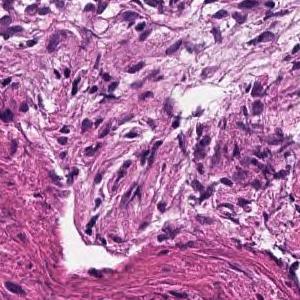
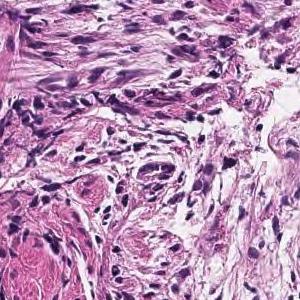
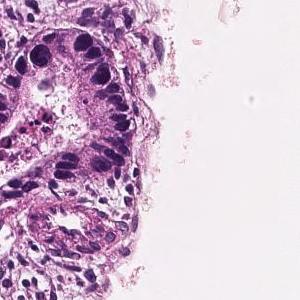
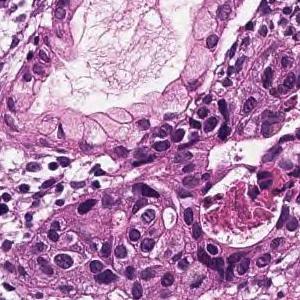
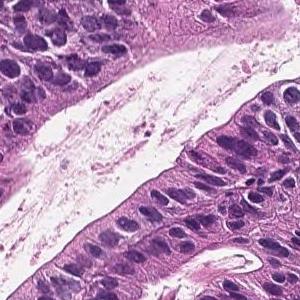
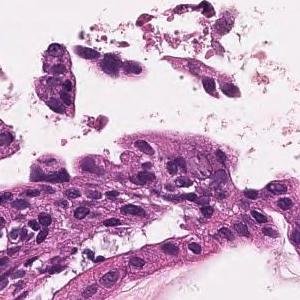
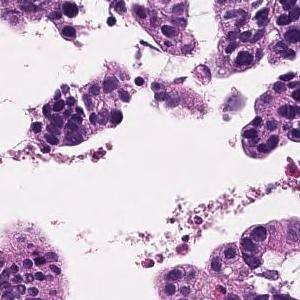
H&E stain; 7 patches cut from one gastric biopsy slide.
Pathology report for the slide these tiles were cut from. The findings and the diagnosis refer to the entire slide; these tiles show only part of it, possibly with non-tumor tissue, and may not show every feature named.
On the superficial epithelium, tumor tissue consisting of large, irregular glandular ducts partially fused and infiltrated is observed. Well to moderately differentiated tubular adenocarcinoma (well differentiated tubular adenocarcinoma, moderately differentiated tubular adenocarcinoma)
Histological subtype: Well to moderately differentiated tubular adenocarcinoma.
